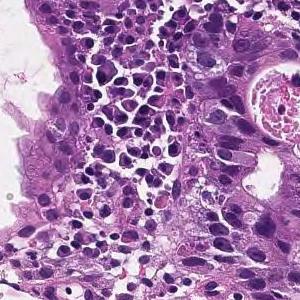
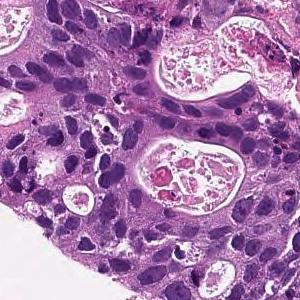
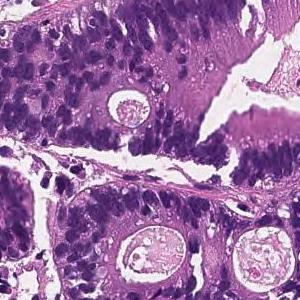
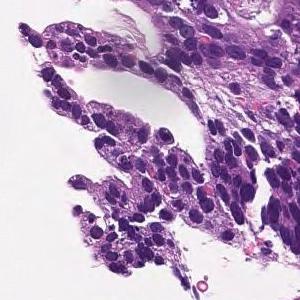
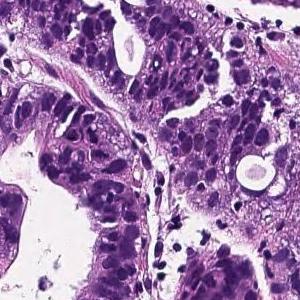
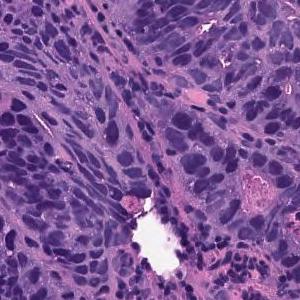
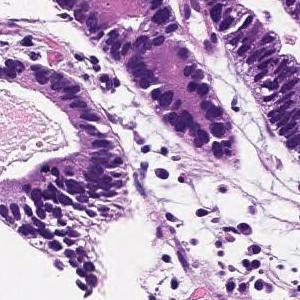
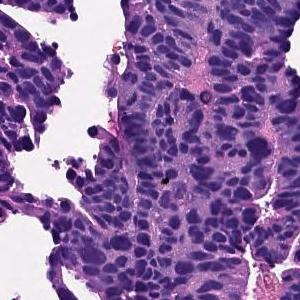
Hematoxylin and eosin stain · ×20 · 8 tiles cut from one stomach biopsy slide · 300 × 300 pixels each.
Report on the slide these tiles come from. The report describes the whole slide, diagnosis included: not every finding it names need appear in these tiles, which may also show non-tumor tissue.
In the superficial epithelium, tumor tissue that invades by forming medium-sized to small, irregular ducts is observed. moderately differentiated tubular adenocarcinoma.
